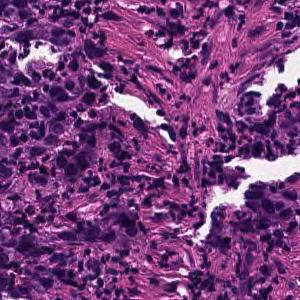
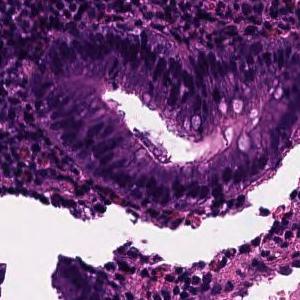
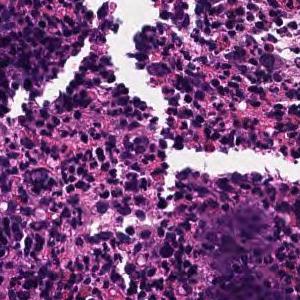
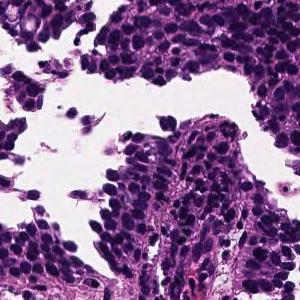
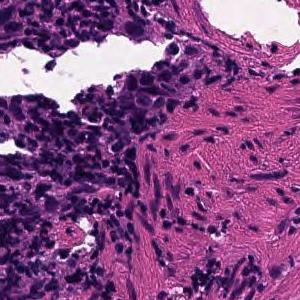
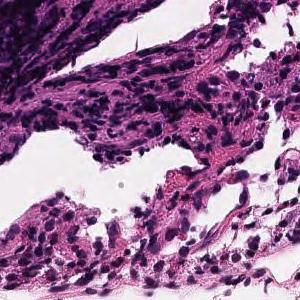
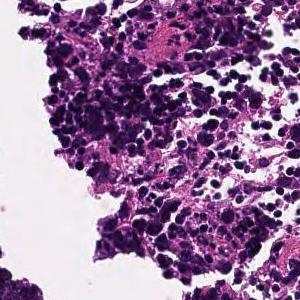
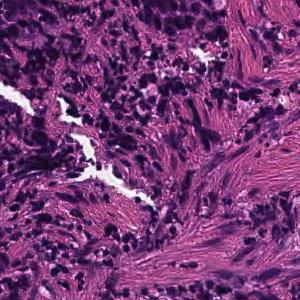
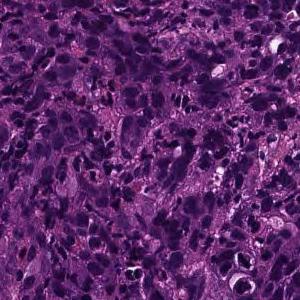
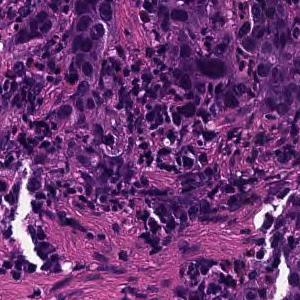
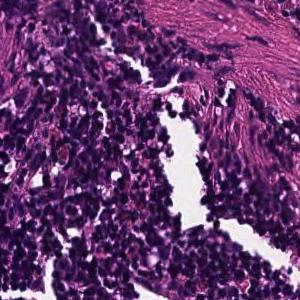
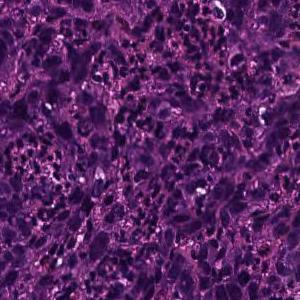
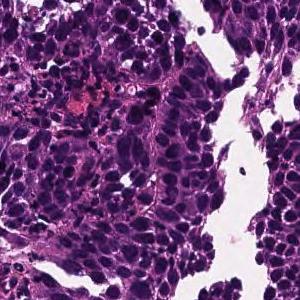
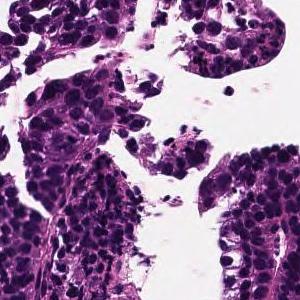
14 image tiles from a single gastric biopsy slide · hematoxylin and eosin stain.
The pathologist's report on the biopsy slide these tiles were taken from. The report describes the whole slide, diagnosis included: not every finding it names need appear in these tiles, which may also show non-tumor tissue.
Tumor tissue consisting of cord-like or small, irregular glandular ducts fused and infiltrated is observed in the superficial epithelium. Poorly differentiated adenocarcinoma, non-solid type
"Non-solid type" is a category of the Japanese Classification of Gastric Carcinoma.
